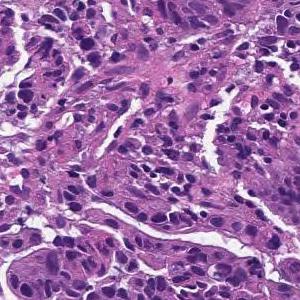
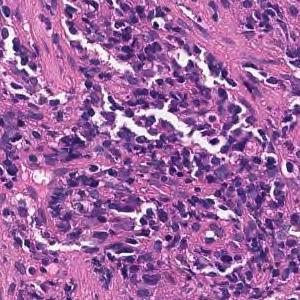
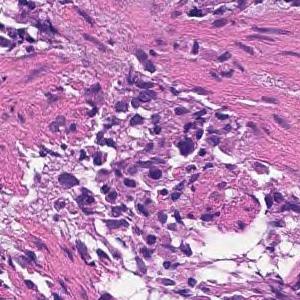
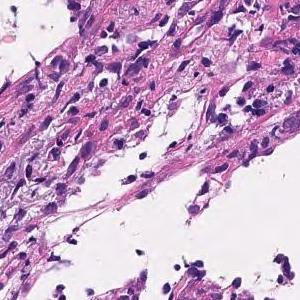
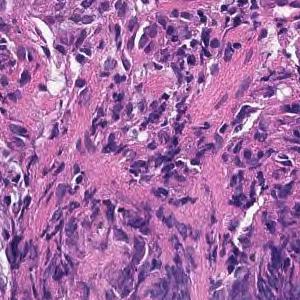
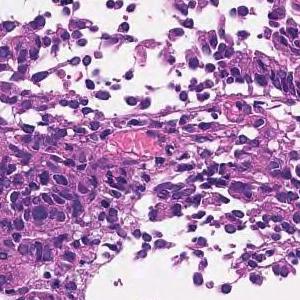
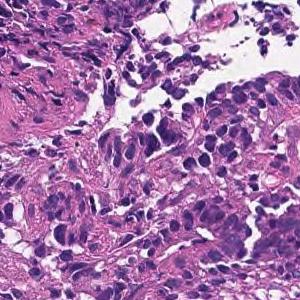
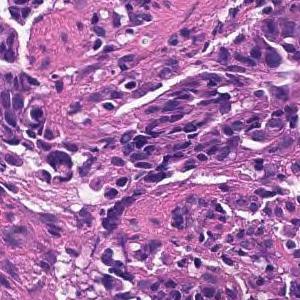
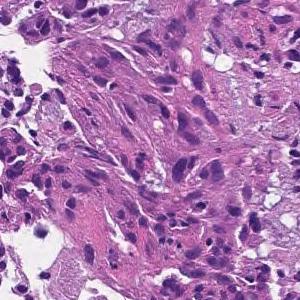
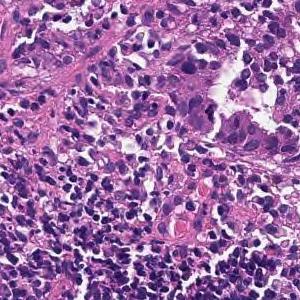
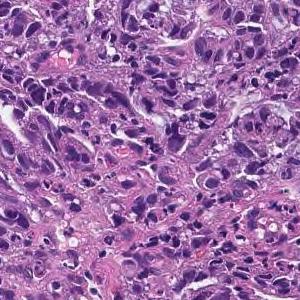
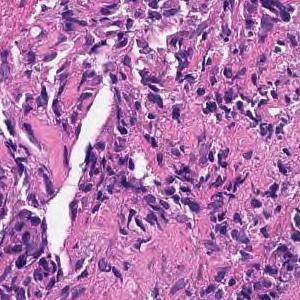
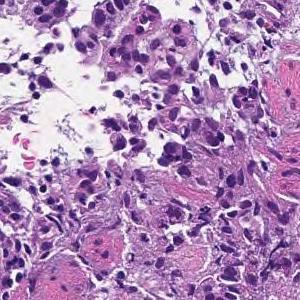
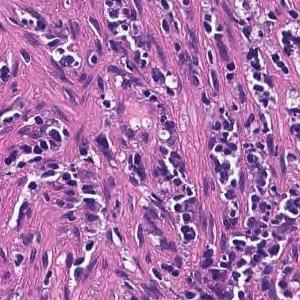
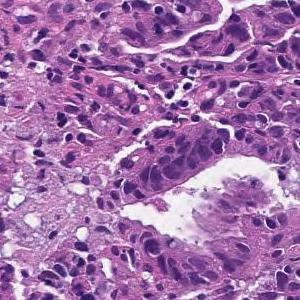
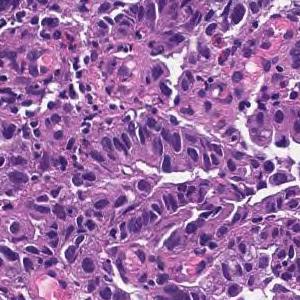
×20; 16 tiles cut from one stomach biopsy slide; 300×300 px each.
Report on the slide these tiles come from. The findings and the diagnosis refer to the entire slide; these tiles show only part of it, possibly with non-tumor tissue, and may not show every feature named.
On the superficial epithelium, tumor tissue consisting of large, irregular glandular ducts partially fused and infiltrated is observed. Well to moderately differentiated tubular adenocarcinoma (well differentiated tubular adenocarcinoma, moderately differentiated tubular adenocarcinoma)
Histologic type: Well to moderately differentiated tubular adenocarcinoma.
